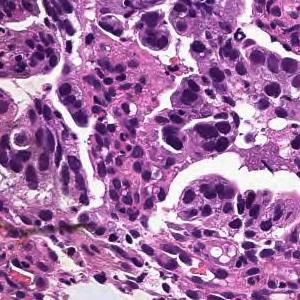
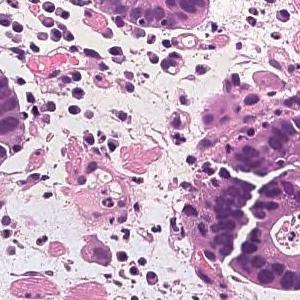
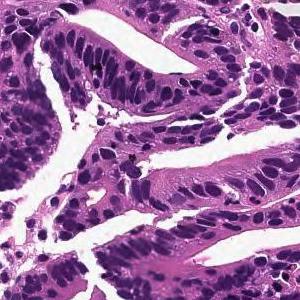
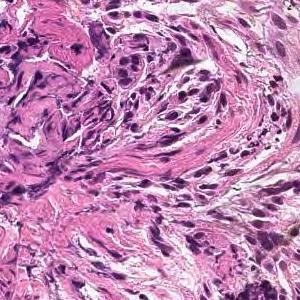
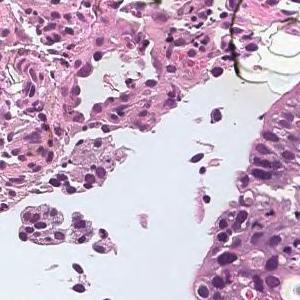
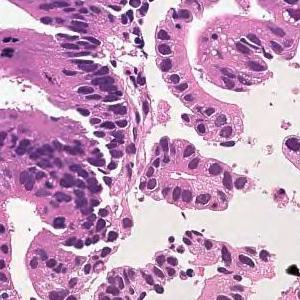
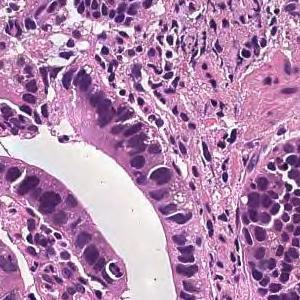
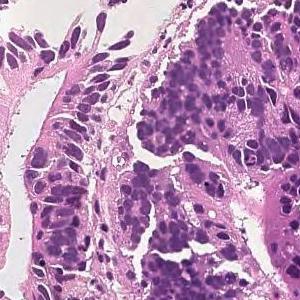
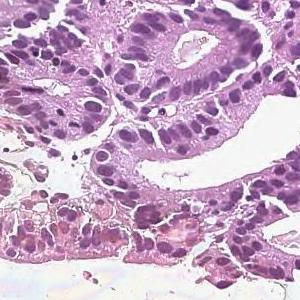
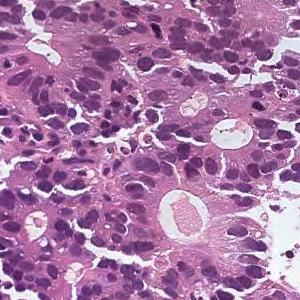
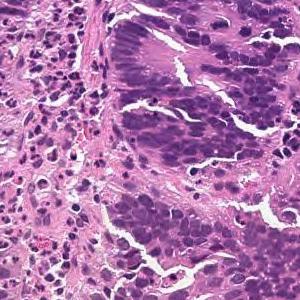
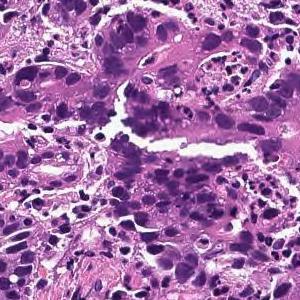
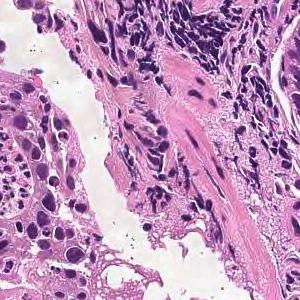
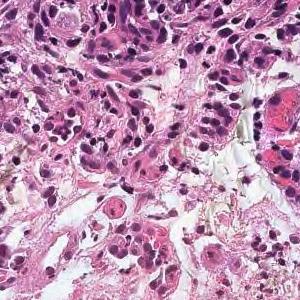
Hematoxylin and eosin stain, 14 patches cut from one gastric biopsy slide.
Diagnostic report for the slide these tiles come from. What the report and the diagnosis say applies to the whole slide; these tiles may miss some of the features named and may include tissue that is not tumor.
On the superficial epithelium, tumor tissue consisting of large irregular glandular ducts partially fused and infiltrated is observed. Well to moderately differentiated tubular adenocarcinoma (well differentiated tubular adenocarcinoma, moderately differentiated tubular adenocarcinoma)
Tumor subtype: well to moderately differentiated tubular adenocarcinoma.
